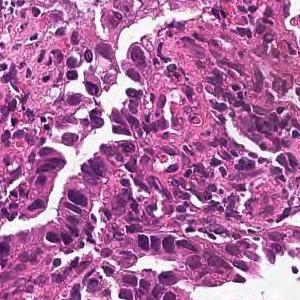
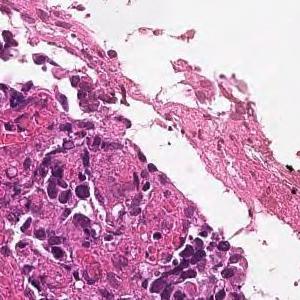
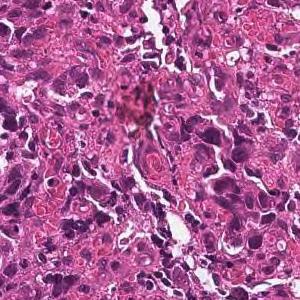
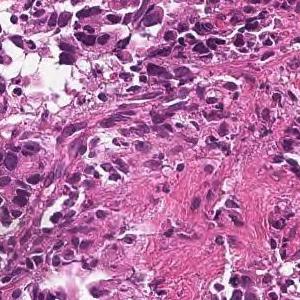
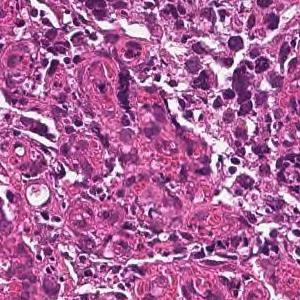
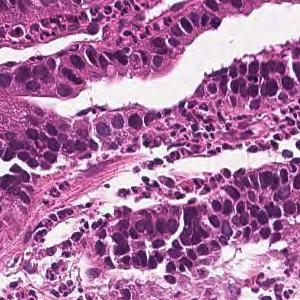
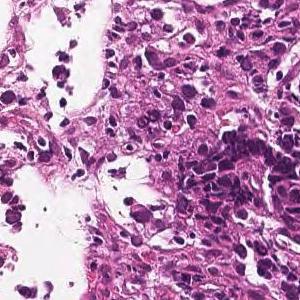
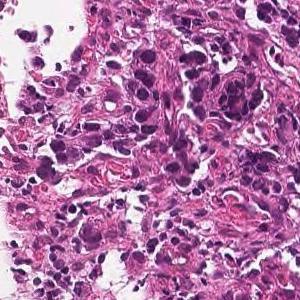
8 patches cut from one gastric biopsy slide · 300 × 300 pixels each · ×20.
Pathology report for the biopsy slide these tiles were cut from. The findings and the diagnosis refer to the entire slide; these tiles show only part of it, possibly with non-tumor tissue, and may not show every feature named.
Tumor tissue consisting of medium-sized, cord-like or irregular glandular infiltration is observed in the superficial epithelium. Poorly differentiated adenocarcinoma, non-solid type or moderately differentiated tubular adenocarcinoma
Tumor subtype: moderately to poorly differentiated adenocarcinoma.
The non-solid type named here is a Japanese Classification of Gastric Carcinoma category.
